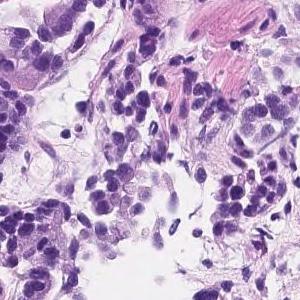
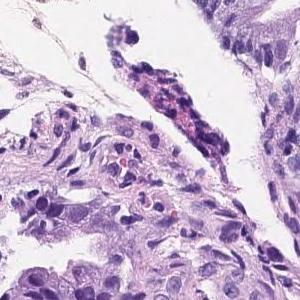
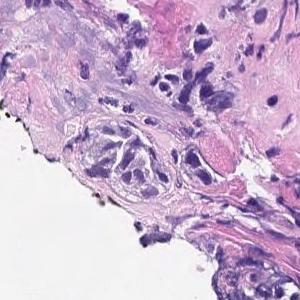
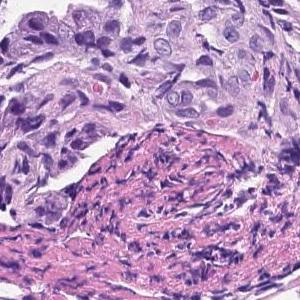
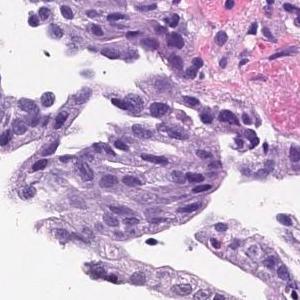
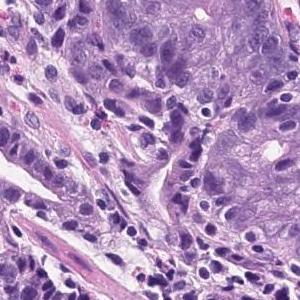
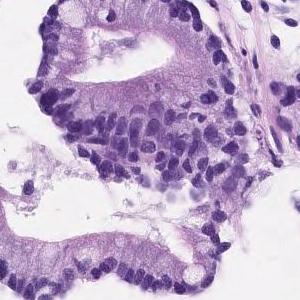
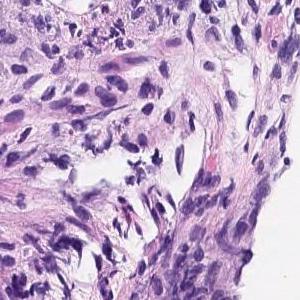
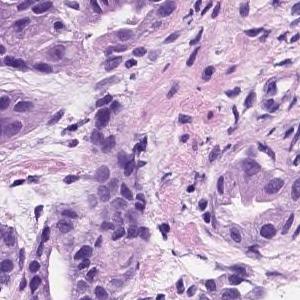
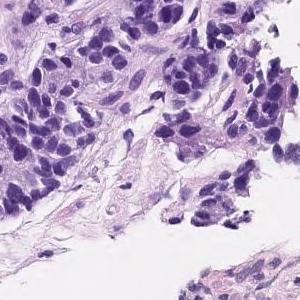
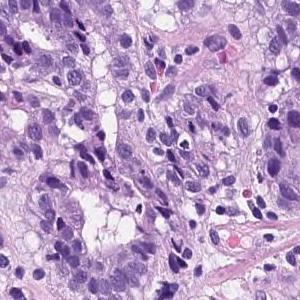
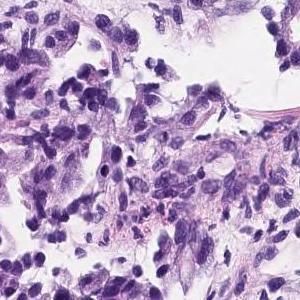
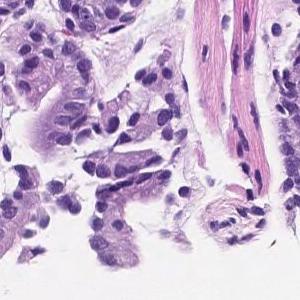
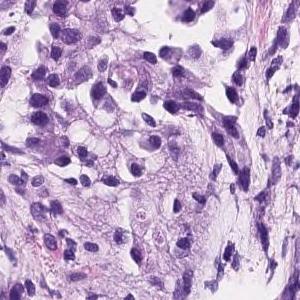
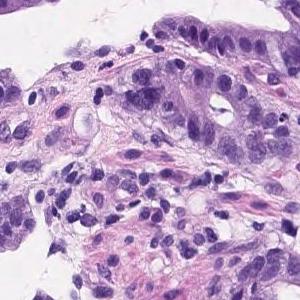
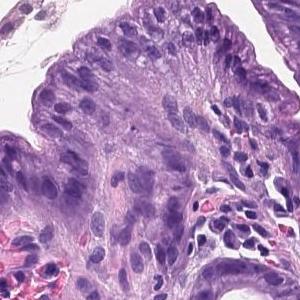
H&E stain · ×20 · 16 patches cut from one gastric biopsy slide · 300 × 300 pixels each.
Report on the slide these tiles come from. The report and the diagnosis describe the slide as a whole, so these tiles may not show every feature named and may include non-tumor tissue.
Tumor tissue consisting of medium-sized and irregular ducts is observed infiltrating in the superficial epithelium. Tumor cells are highly columnar, with nuclei aligned basolaterally and polarized. Well differentiated tubular adenocarcinoma.
